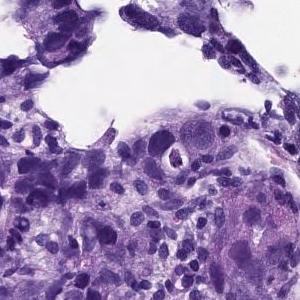
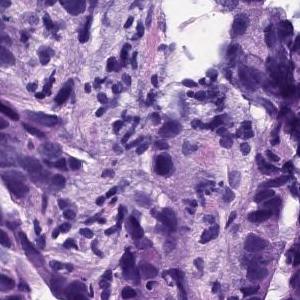
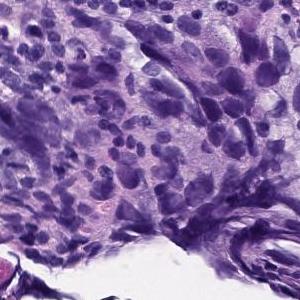
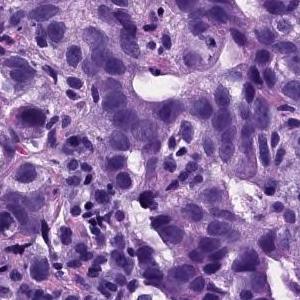
Hematoxylin and eosin stain · ×20 · 4 tiles cut from one stomach biopsy slide · 300×300 px each.
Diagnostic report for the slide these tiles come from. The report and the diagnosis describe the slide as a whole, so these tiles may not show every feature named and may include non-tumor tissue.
In the superficial epithelium, tumor tissue that invades by forming medium-sized to small, irregular ducts is observed. Moderately differentiated adenocarcinoma.
Subtype: Moderately differentiated tubular adenocarcinoma.
